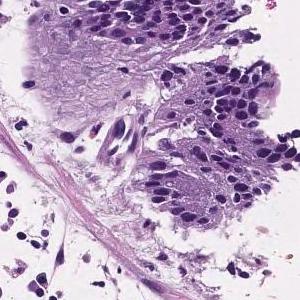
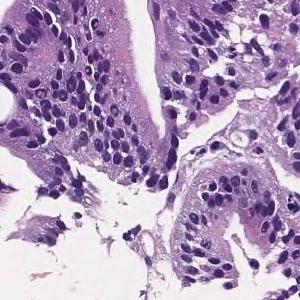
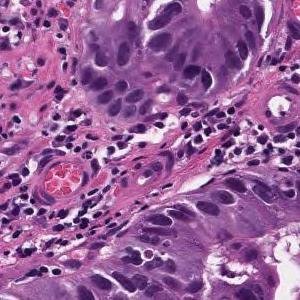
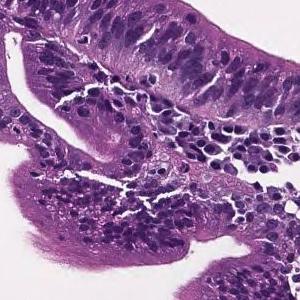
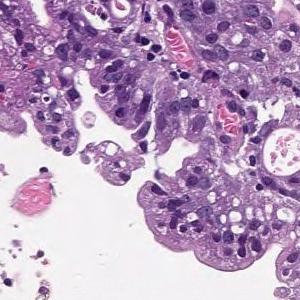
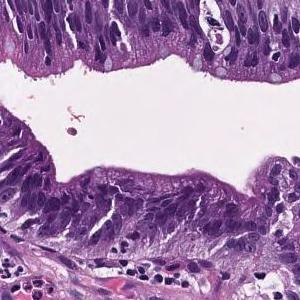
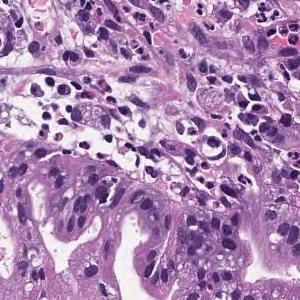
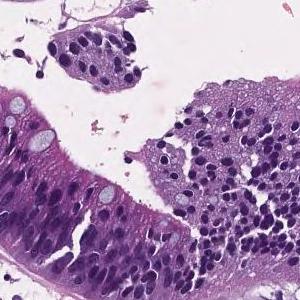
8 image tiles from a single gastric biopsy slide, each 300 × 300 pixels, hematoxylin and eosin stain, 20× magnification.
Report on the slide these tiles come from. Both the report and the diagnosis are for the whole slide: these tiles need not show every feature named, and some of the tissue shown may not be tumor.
Tumor cells are large, highly columnar, large club-shaped nuclei, and are associated with chromatin aggregation. Papillary adenocarcinoma.
